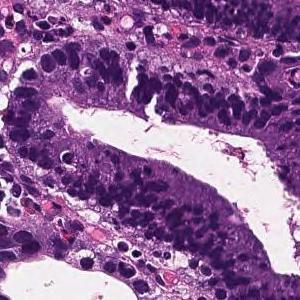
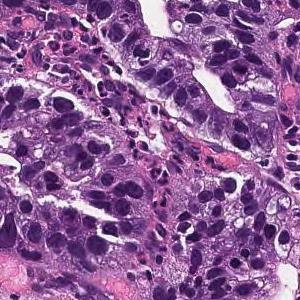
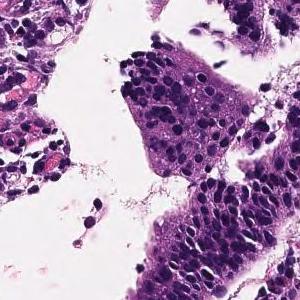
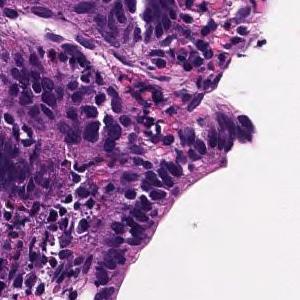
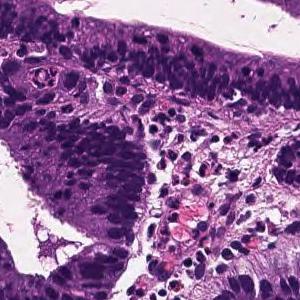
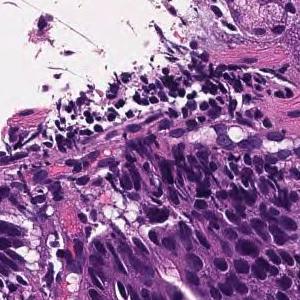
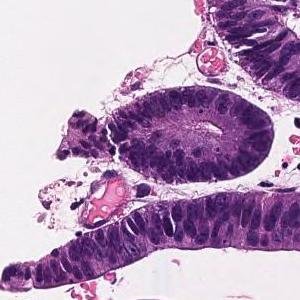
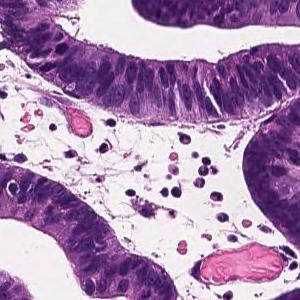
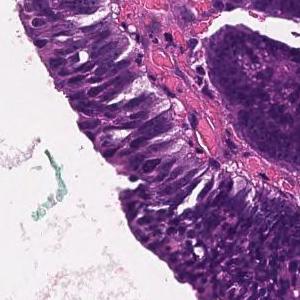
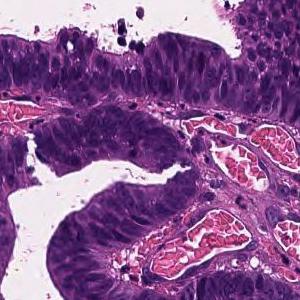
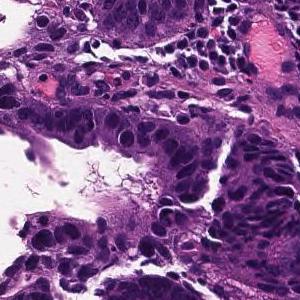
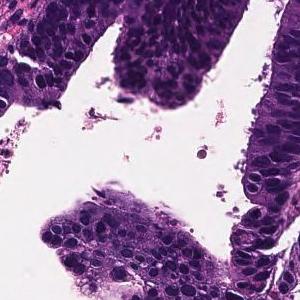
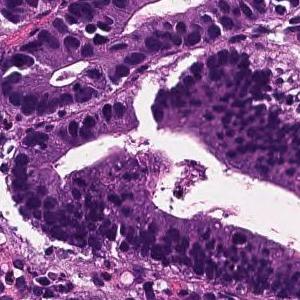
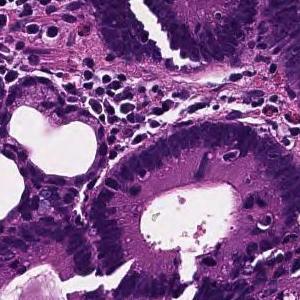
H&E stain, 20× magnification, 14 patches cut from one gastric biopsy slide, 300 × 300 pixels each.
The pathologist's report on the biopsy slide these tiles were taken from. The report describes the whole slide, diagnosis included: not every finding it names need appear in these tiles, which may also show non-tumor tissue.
Tumor tissue consisting of large papillary structures is found in the superficial epithelium. Papillary adenocarcinoma.
